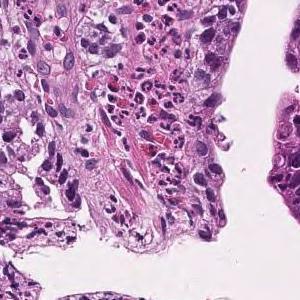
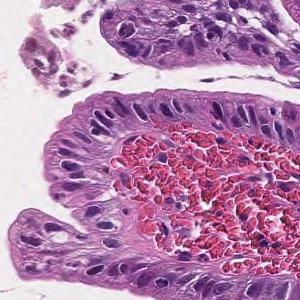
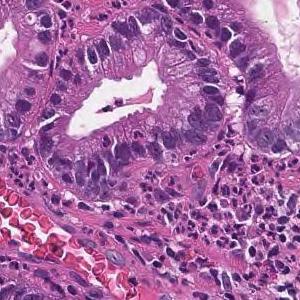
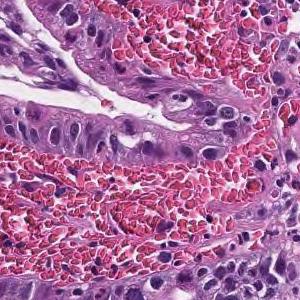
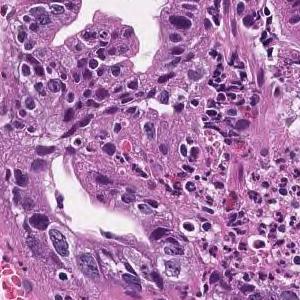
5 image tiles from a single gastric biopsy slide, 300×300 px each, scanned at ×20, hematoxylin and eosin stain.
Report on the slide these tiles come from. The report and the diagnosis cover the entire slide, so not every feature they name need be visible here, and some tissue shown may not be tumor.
Tumor cells are large, highly columnar, large club-shaped nuclei, and are associated with chromatin aggregation. Papillary adenocarcinoma.
